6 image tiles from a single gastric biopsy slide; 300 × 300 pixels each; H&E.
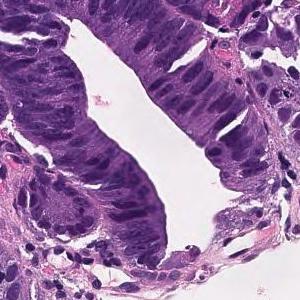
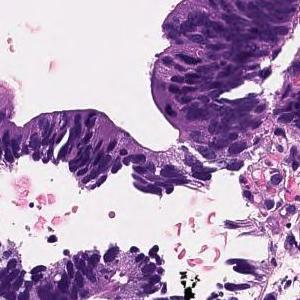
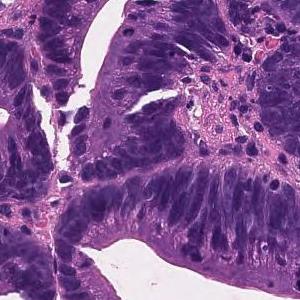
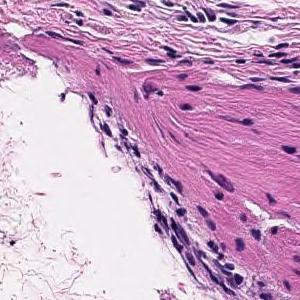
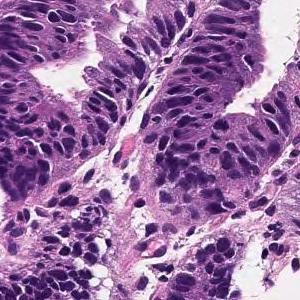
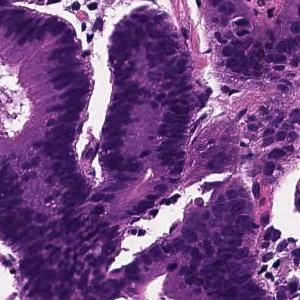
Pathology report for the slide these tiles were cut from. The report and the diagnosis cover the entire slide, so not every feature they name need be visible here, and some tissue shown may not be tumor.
Tumor tissue consisting of large papillary structures is found in the superficial epithelium. Papillary adenocarcinoma.
